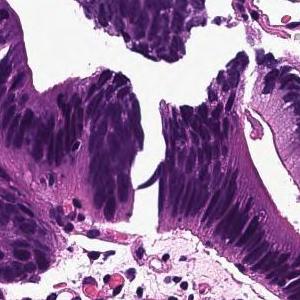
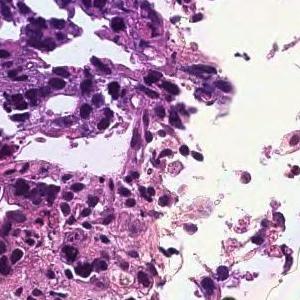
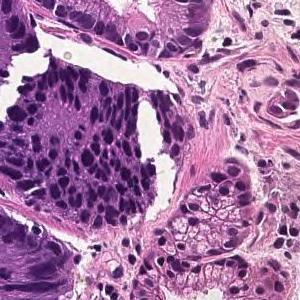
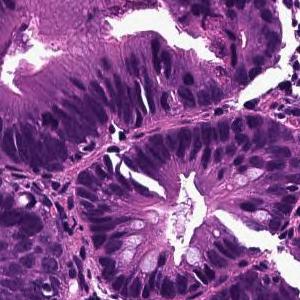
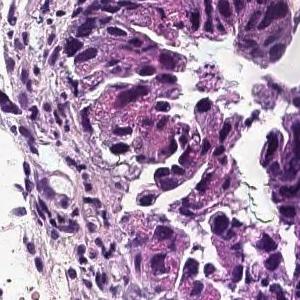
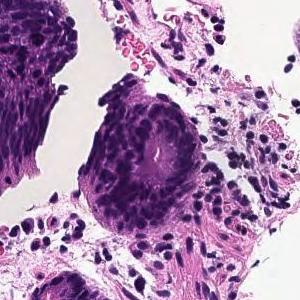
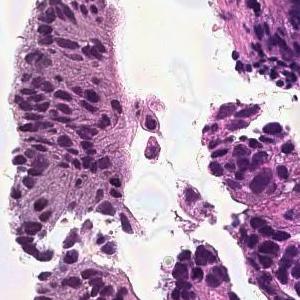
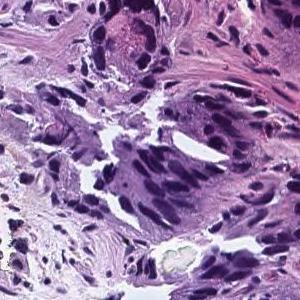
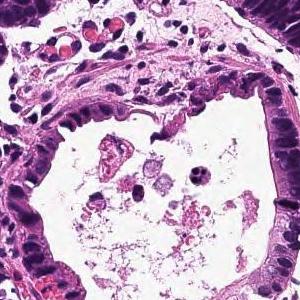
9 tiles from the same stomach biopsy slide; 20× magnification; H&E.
Pathology report for the biopsy slide these tiles were cut from. The report and the diagnosis cover the entire slide, so not every feature they name need be visible here, and some tissue shown may not be tumor.
In the superficial epithelium, tumor tissue that invades by forming medium-sized to small, irregular ducts is observed. moderately differentiated tubular adenocarcinoma.
